16 patches cut from one gastric biopsy slide, hematoxylin and eosin stain.
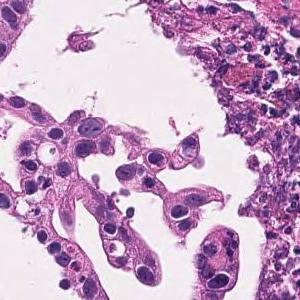
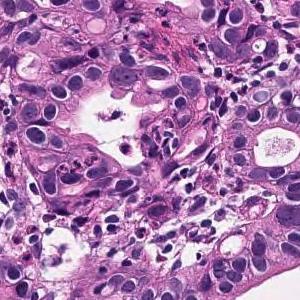
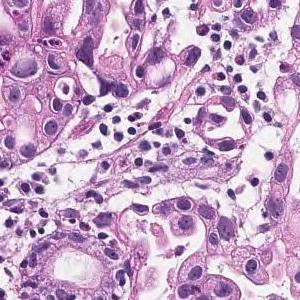
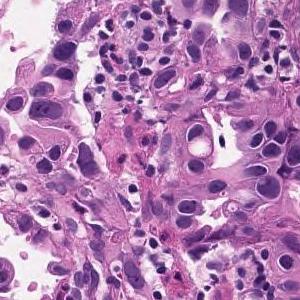
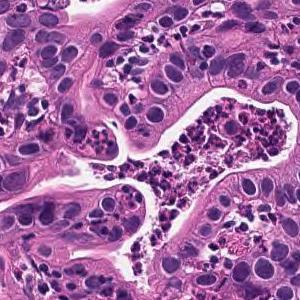
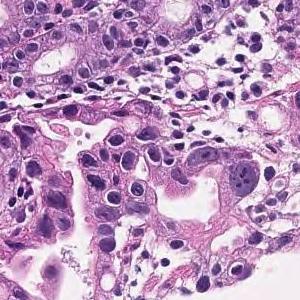
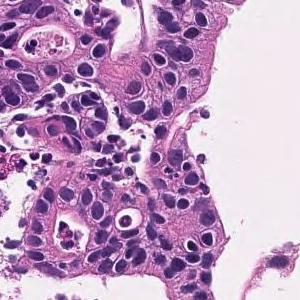
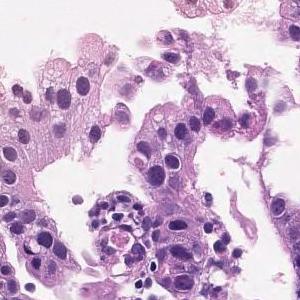
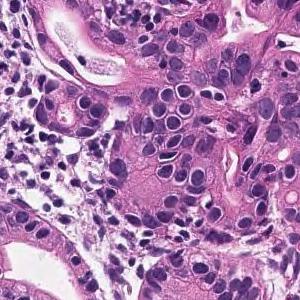
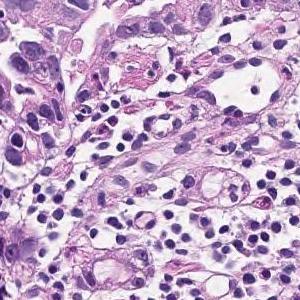
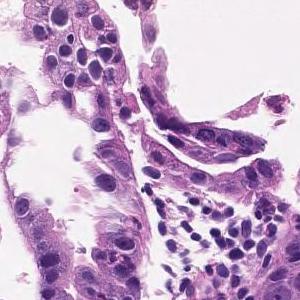
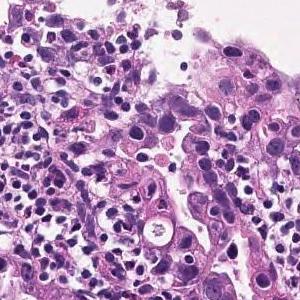
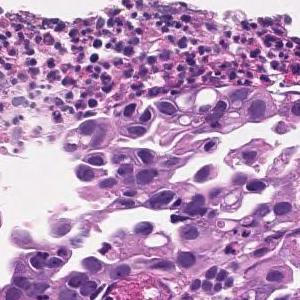
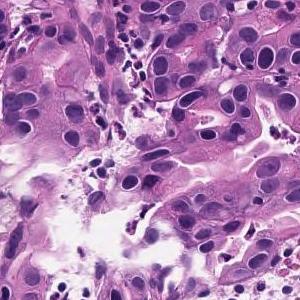
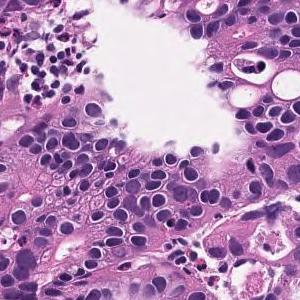
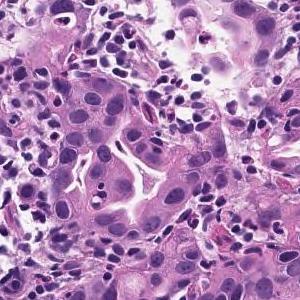
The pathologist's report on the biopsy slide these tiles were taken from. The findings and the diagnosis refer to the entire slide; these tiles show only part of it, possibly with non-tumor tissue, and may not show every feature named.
In the superficial epithelium, tumor tissue that invades by forming medium-sized to small, irregular ducts is observed. moderately differentiated tubular adenocarcinoma.
